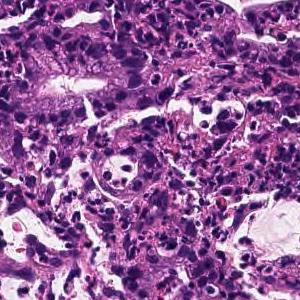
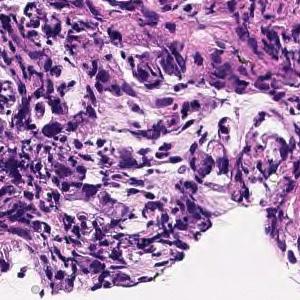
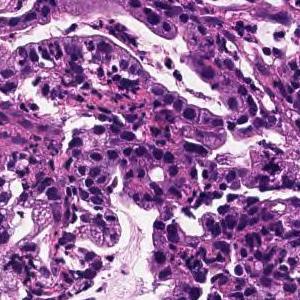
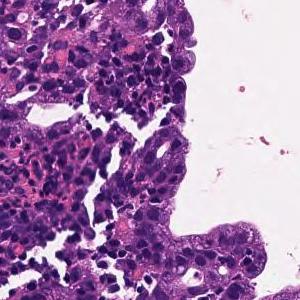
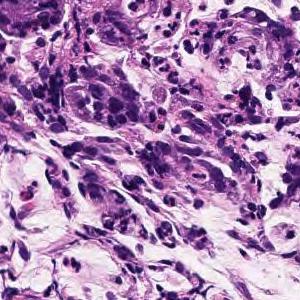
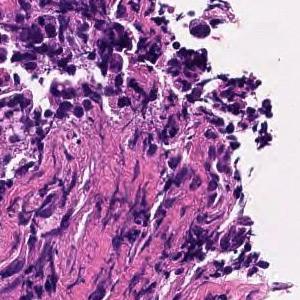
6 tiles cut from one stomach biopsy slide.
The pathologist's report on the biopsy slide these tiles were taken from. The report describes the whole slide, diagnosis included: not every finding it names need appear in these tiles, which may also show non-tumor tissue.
On the superficial epithelium, tumor tissue consisting of large, irregular glandular ducts partially fused and infiltrated is observed. Well to moderately differentiated tubular adenocarcinoma (well differentiated tubular adenocarcinoma, moderately differentiated tubular adenocarcinoma)
Tumor subtype: well to moderately differentiated tubular adenocarcinoma.
